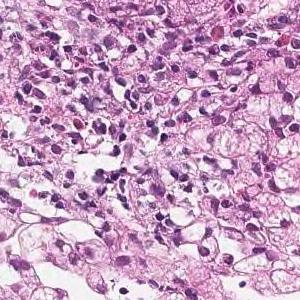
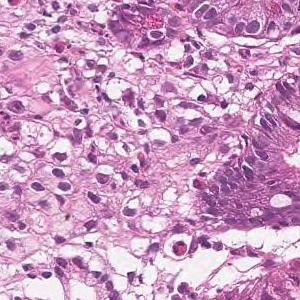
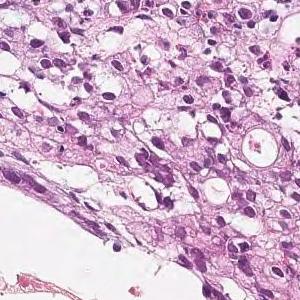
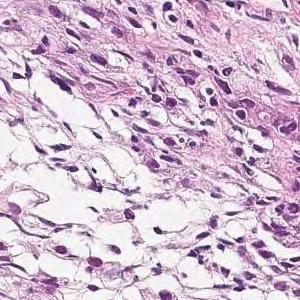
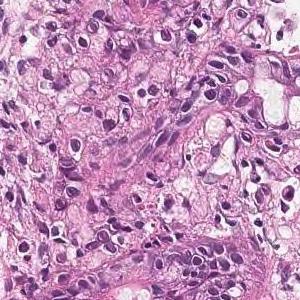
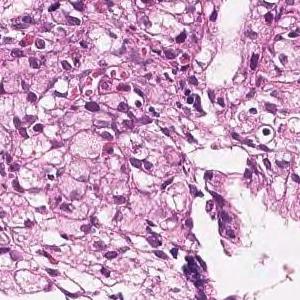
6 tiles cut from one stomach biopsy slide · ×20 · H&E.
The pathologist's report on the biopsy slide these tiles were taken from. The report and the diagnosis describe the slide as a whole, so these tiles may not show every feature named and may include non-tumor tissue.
Atypical epithelium with abundant mucus in the vesicles shows a solid growth without ductal construction. Signet ring cell carcinoma
